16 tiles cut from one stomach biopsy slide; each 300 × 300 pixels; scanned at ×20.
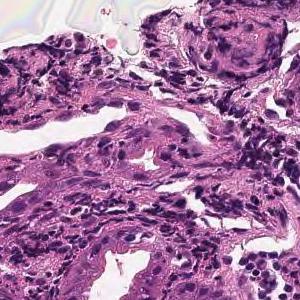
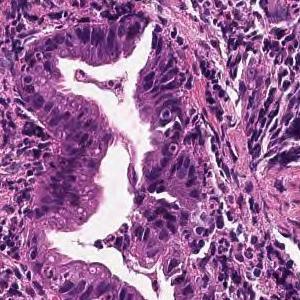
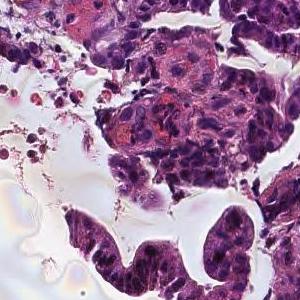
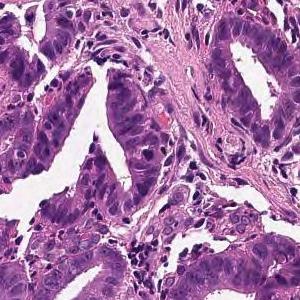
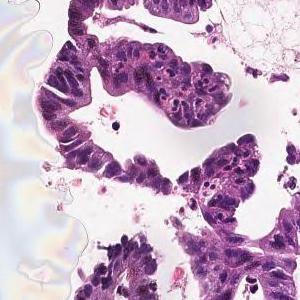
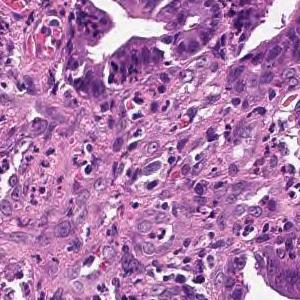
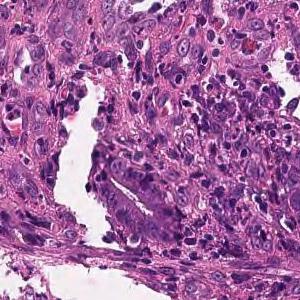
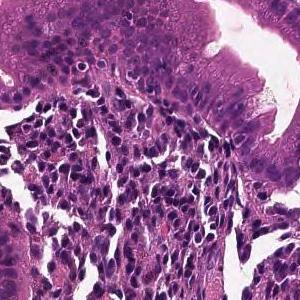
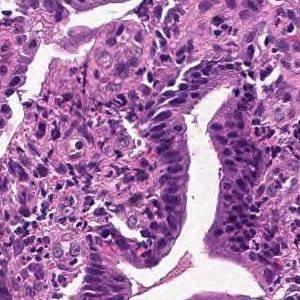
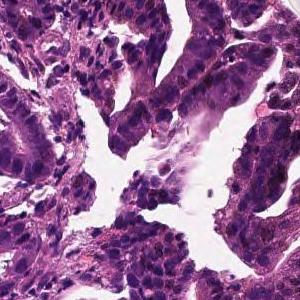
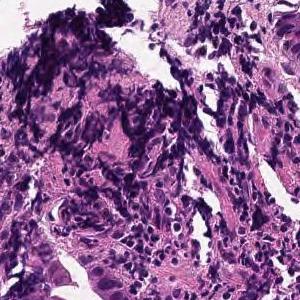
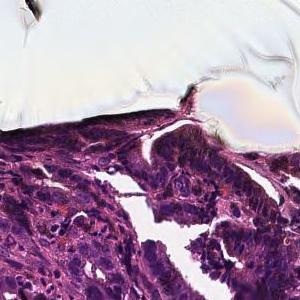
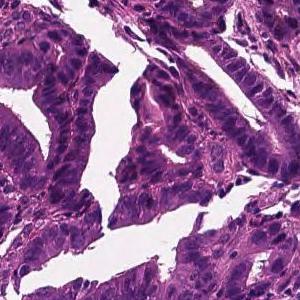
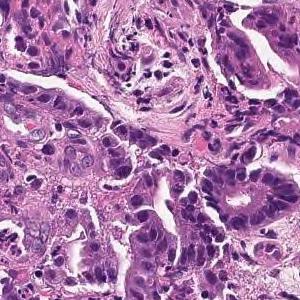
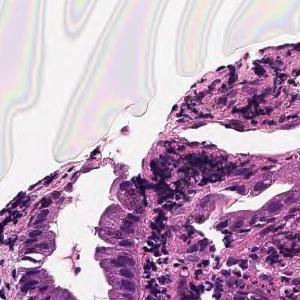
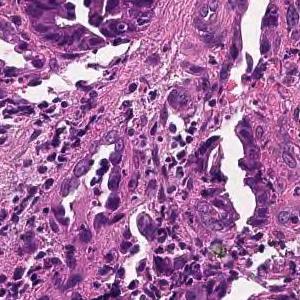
Pathology report for the slide these tiles were cut from. The report and the diagnosis cover the entire slide, so not every feature they name need be visible here, and some tissue shown may not be tumor.
From the superficial epithelium to the muscularis mucosae, tumor tissue consisting of medium-sized and irregular glandular ducts infiltrating is observed. Well differentiated tubular adenocarcinoma
